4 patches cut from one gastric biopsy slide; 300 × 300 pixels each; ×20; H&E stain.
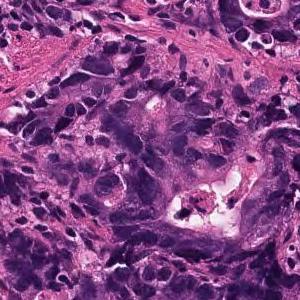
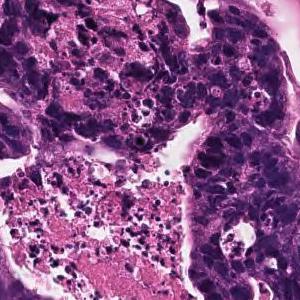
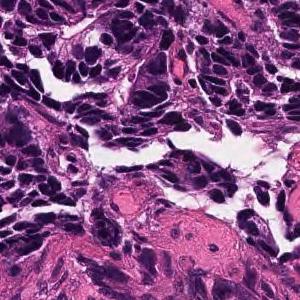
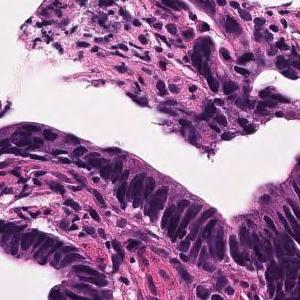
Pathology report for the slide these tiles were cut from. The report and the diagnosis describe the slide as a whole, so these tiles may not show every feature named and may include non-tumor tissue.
Large and small irregular small glandular ducts forming and infiltrating. moderately differentiated tubular adenocarcinoma
